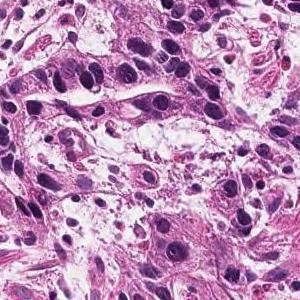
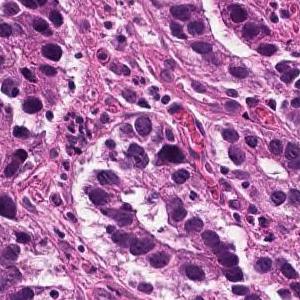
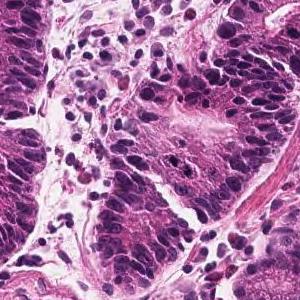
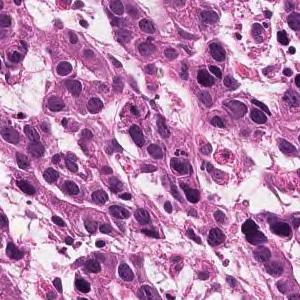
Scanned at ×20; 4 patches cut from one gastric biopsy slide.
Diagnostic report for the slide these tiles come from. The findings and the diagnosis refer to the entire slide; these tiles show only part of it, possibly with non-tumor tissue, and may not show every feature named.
Tumor tissue consisting of medium-sized, cord-like or irregular glandular infiltration is observed in the superficial epithelium. Poorly differentiated adenocarcinoma, non-solid type or moderately differentiated tubular adenocarcinoma
Subtype: Moderately to poorly differentiated adenocarcinoma.
"Non-solid type" is a category of the Japanese Classification of Gastric Carcinoma.
